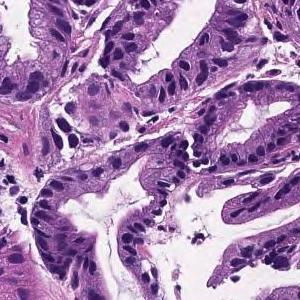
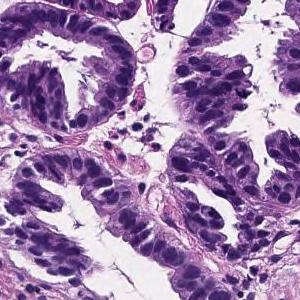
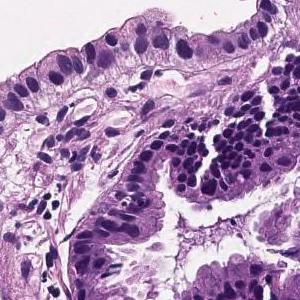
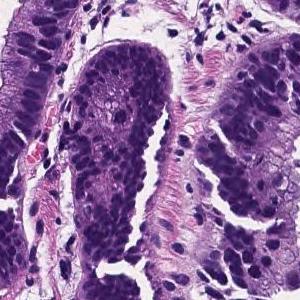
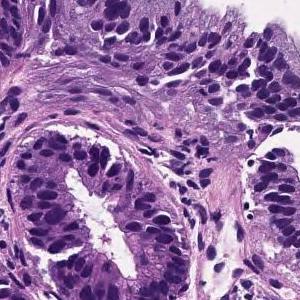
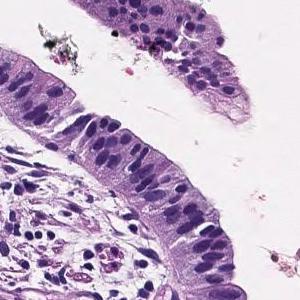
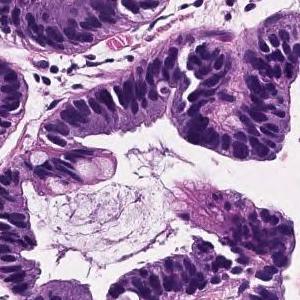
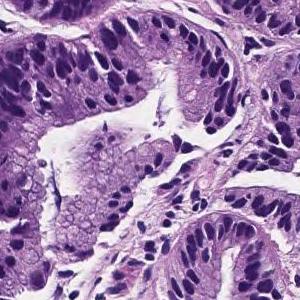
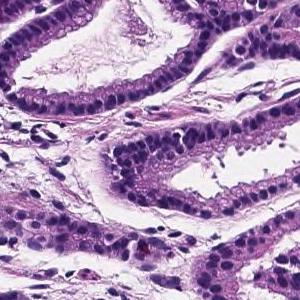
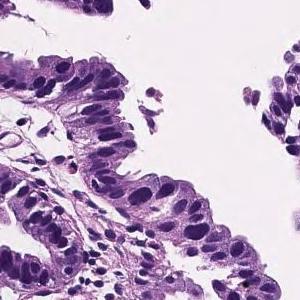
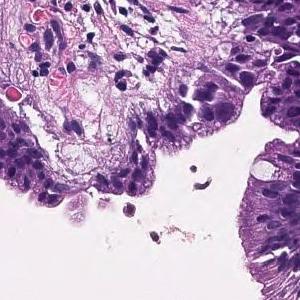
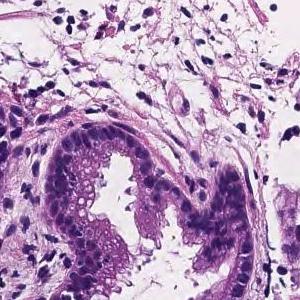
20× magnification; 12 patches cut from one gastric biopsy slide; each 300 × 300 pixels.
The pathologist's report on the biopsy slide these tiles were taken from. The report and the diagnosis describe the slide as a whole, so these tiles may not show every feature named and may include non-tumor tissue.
Tumor cells are large, highly columnar, large club-shaped nuclei, and are associated with chromatin aggregation. Papillary adenocarcinoma.
